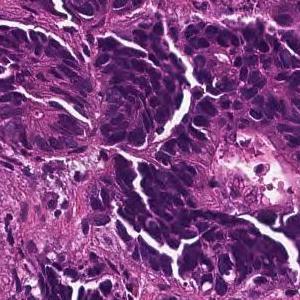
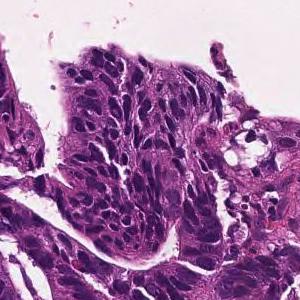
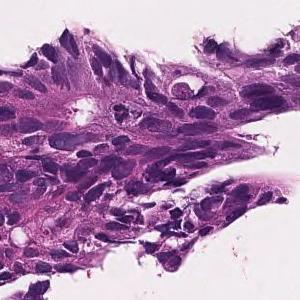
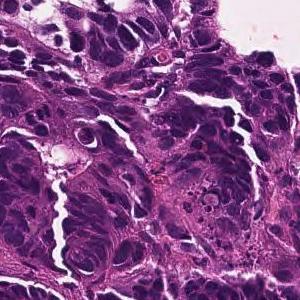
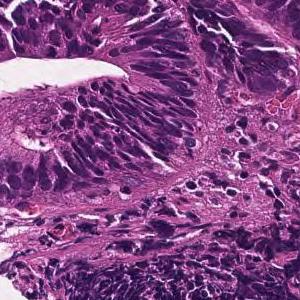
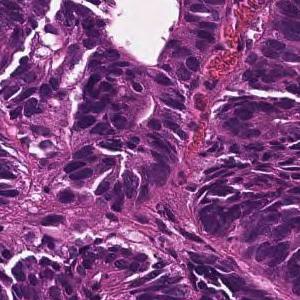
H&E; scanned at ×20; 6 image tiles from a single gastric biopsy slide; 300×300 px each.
Report on the slide these tiles come from. The findings and the diagnosis refer to the entire slide; these tiles show only part of it, possibly with non-tumor tissue, and may not show every feature named.
In the superficial epithelium, tumor tissue that invades by forming medium-sized to small, irregular ducts is observed. moderately differentiated tubular adenocarcinoma.
